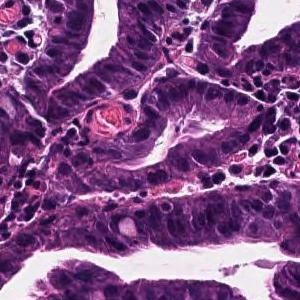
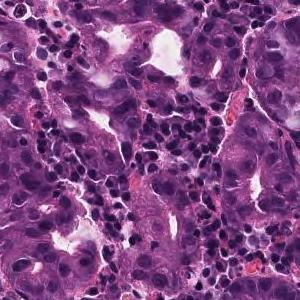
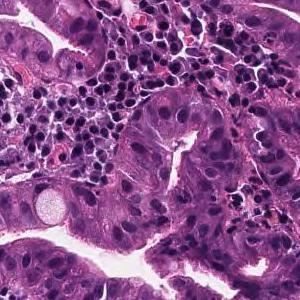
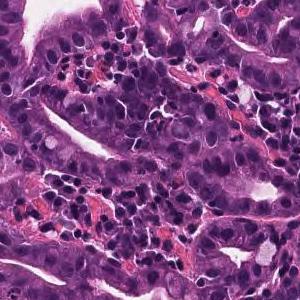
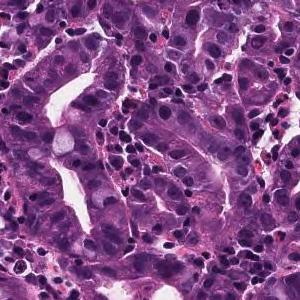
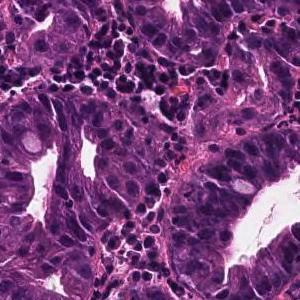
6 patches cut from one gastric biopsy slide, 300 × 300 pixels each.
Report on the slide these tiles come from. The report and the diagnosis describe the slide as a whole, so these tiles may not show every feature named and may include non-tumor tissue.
Atypical tubular proliferation of well to moderately differentiated gastric gland with hyperchromatic nuclei and high N:C ratio. Mitotic figures were also present. These histological findings were suggestive of well to moderately differentiated tubular adenocarcinoma (well differentiated tubular adenocarcinoma, moderately differentiated tubular adenocarcinoma).
Labeled in the dataset as well differentiated tubular adenocarcinoma.
